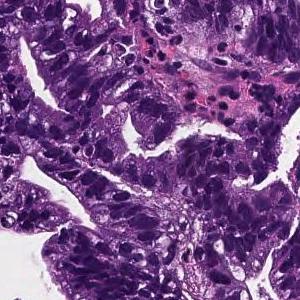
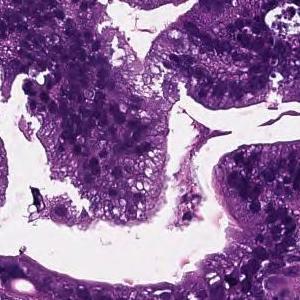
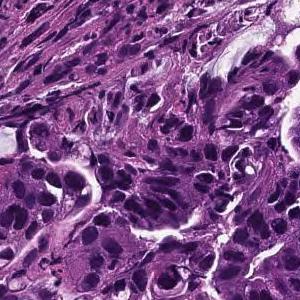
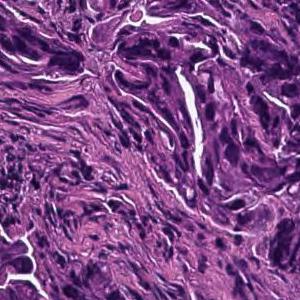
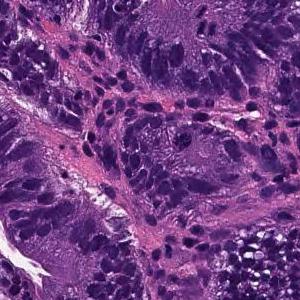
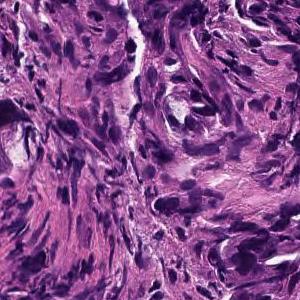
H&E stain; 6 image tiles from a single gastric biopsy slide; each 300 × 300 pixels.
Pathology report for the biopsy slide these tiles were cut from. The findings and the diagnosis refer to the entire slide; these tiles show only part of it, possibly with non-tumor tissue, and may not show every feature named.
Tumor cells are large, highly columnar, large club-shaped nuclei, and are associated with chromatin aggregation. Papillary adenocarcinoma.
